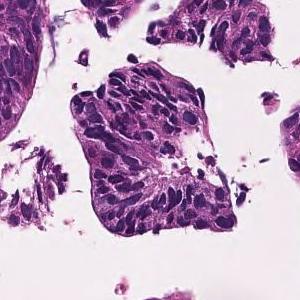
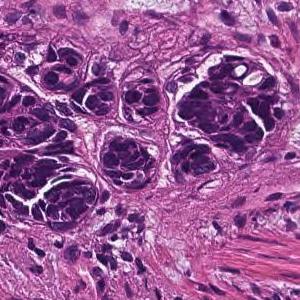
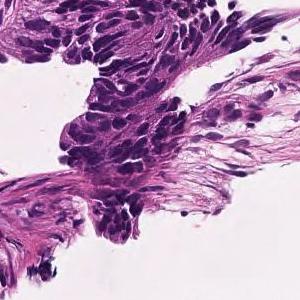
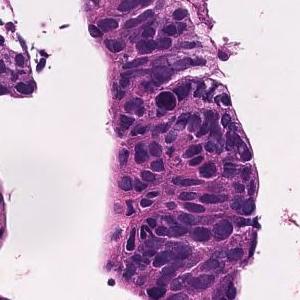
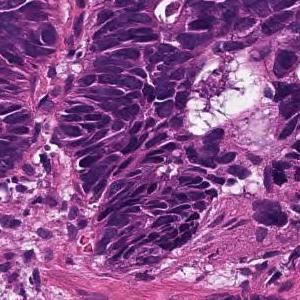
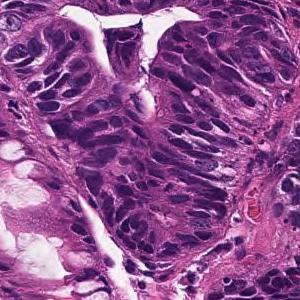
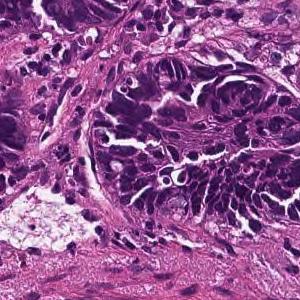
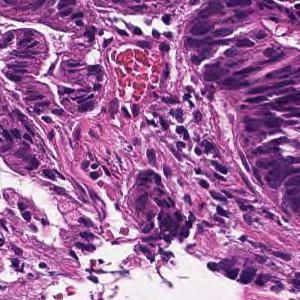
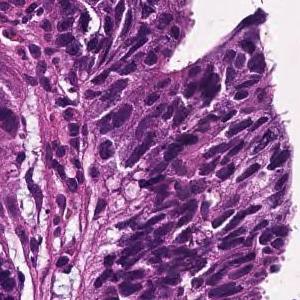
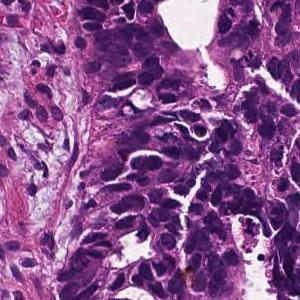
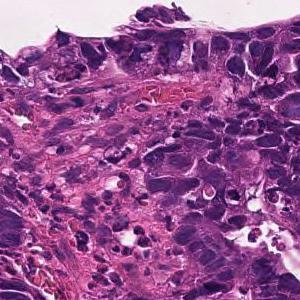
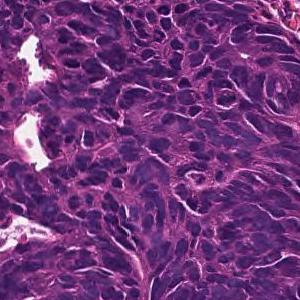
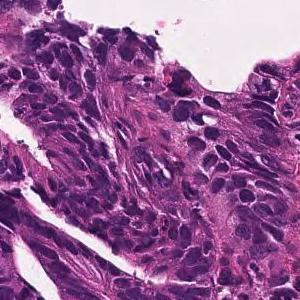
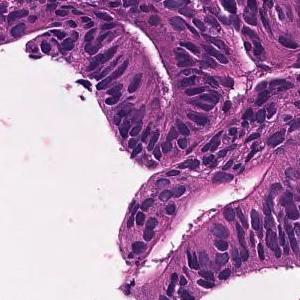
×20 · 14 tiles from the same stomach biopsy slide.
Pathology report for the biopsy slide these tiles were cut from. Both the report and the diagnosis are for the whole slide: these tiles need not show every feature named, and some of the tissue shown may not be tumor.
In the superficial epithelium, tumor tissue that invades by forming medium-sized to small, irregular ducts is observed. moderately differentiated tubular adenocarcinoma.
